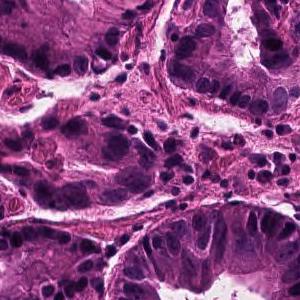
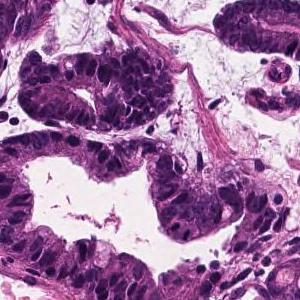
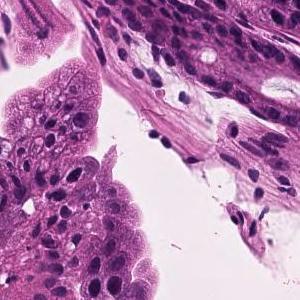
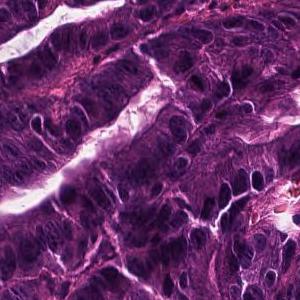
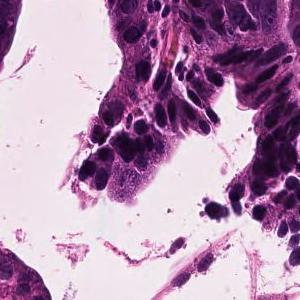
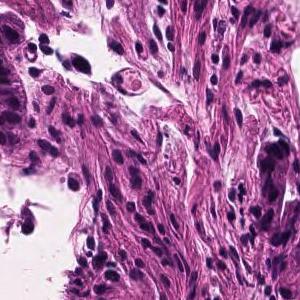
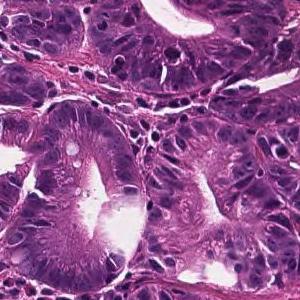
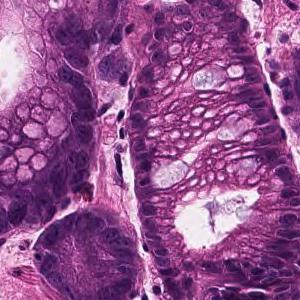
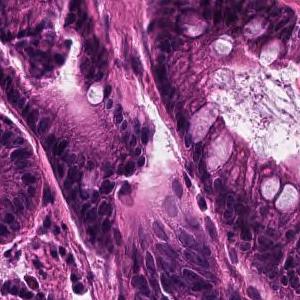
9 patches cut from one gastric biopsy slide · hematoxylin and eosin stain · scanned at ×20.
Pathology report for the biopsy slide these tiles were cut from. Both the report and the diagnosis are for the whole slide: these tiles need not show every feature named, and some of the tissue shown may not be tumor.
In the superficial epithelium, tumor tissue that invades by forming medium-sized to small, irregular ducts is observed. Well differentiated tubular adenocarcinoma.
